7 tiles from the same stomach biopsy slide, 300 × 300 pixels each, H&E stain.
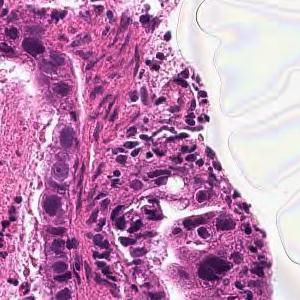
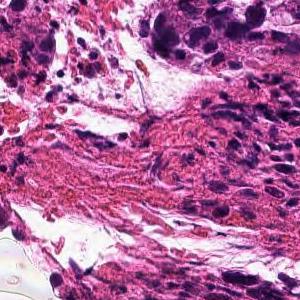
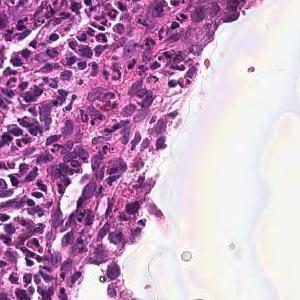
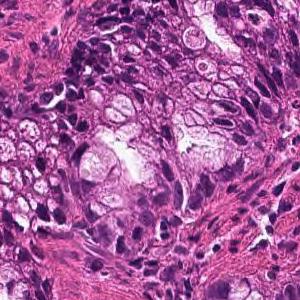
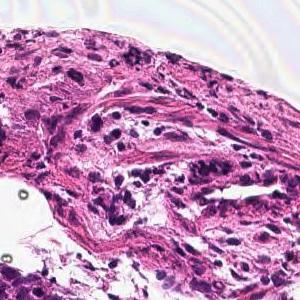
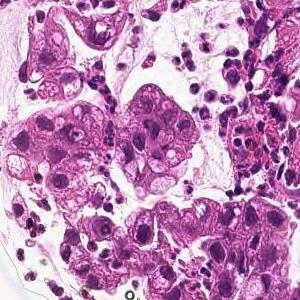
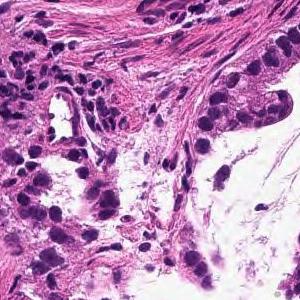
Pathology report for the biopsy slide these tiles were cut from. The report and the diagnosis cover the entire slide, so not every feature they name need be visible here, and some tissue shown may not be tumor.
From the superficial epithelium to the muscularis mucosae, tumor tissue infiltrating by forming medium-sized irregular gland ducts is observed. Well differentiated tubular adenocarcinoma
